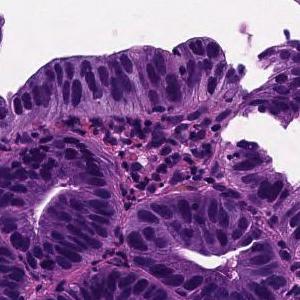
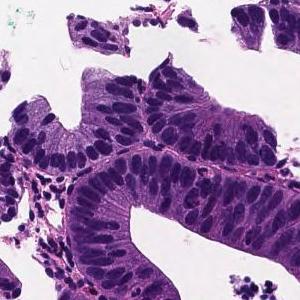
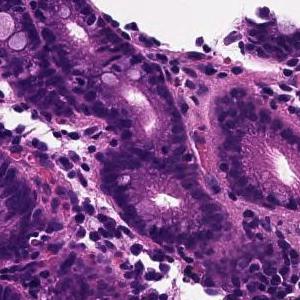
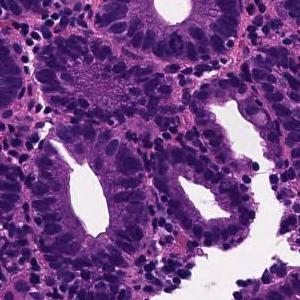
4 patches cut from one gastric biopsy slide, H&E.
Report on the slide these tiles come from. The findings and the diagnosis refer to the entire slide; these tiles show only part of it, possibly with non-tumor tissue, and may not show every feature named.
Tumor tissue in which medium to small irregular ducts infiltrate and proliferate in the submucosa can be seen in the epithelium. Well differentiated tubular adenocarcinoma
